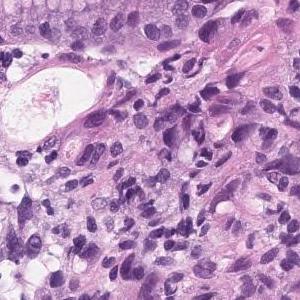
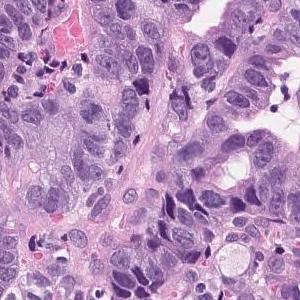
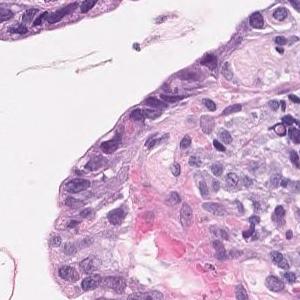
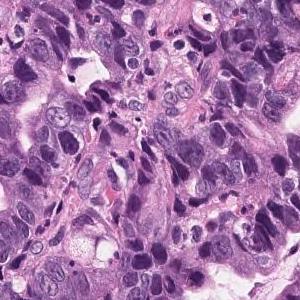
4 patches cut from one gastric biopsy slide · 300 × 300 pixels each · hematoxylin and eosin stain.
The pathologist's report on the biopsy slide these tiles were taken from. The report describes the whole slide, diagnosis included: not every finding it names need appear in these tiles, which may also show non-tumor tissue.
Tumor tissue consisting of medium-sized, cord-like or irregular glandular infiltration is observed in the superficial epithelium. Poorly differentiated adenocarcinoma, non-solid type or moderately differentiated tubular adenocarcinoma
Dataset label: poorly differentiated adenocarcinoma, non-solid type.
The non-solid type named here is a Japanese Classification of Gastric Carcinoma category.
